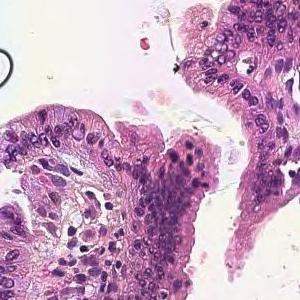
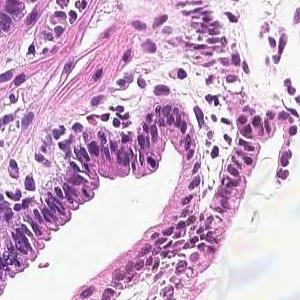
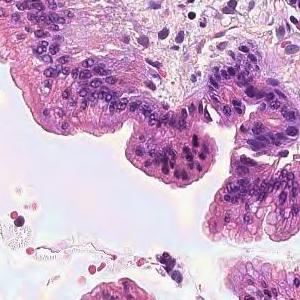
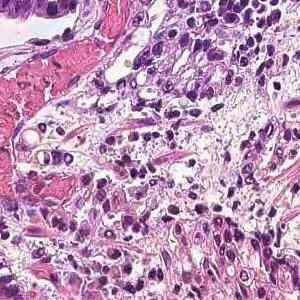
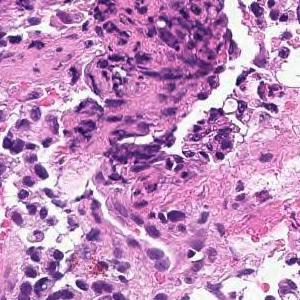
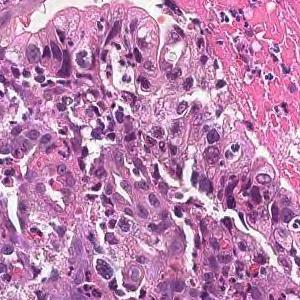
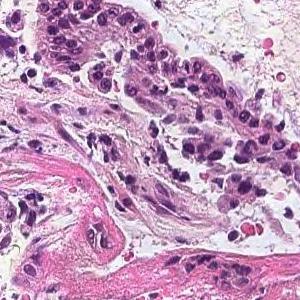
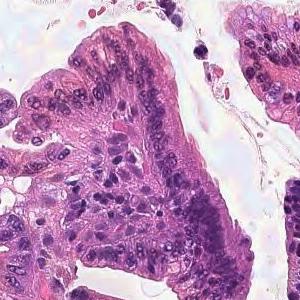
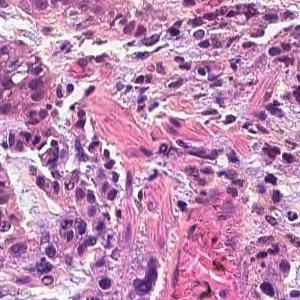
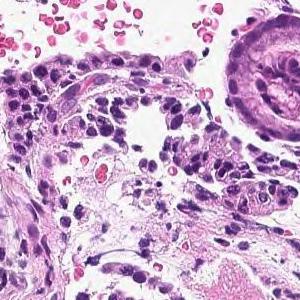
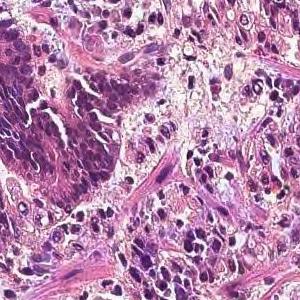
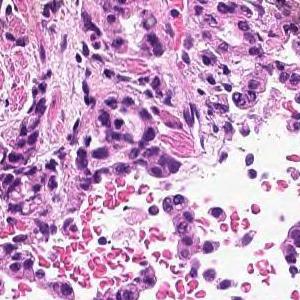
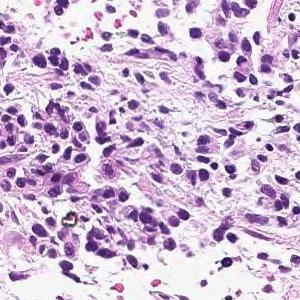
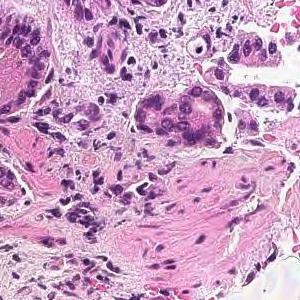
14 patches cut from one gastric biopsy slide; each 300 × 300 pixels; scanned at ×20; H&E stain.
Diagnostic report for the slide these tiles come from. The findings and the diagnosis refer to the entire slide; these tiles show only part of it, possibly with non-tumor tissue, and may not show every feature named.
Tumor tissue consisting of medium-sized, cord-like or irregular glandular infiltration is observed in the superficial epithelium. Poorly differentiated adenocarcinoma, non-solid type or moderately differentiated tubular adenocarcinoma
Histologic type: Moderately to poorly differentiated adenocarcinoma.
The term "non-solid type" comes from the Japanese Classification of Gastric Carcinoma.
